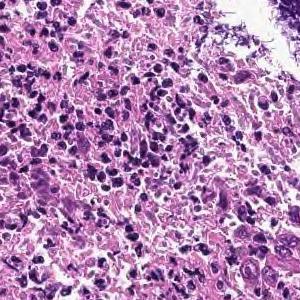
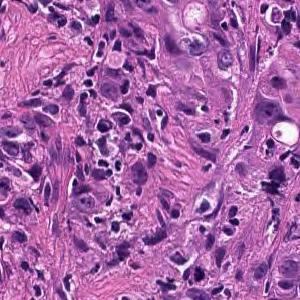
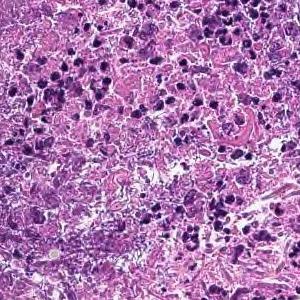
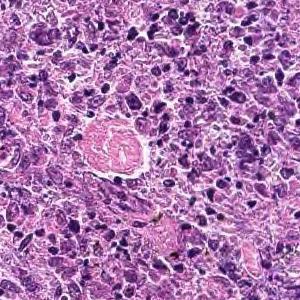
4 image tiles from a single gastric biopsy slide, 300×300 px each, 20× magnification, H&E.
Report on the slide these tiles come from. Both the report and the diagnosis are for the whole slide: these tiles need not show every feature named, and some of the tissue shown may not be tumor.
Cancers with polygonal nuclei do not show glandular formation and are densely, in part, cord-like and proliferate. Poorly differentiated adenocarcinoma
Tumor subtype: poorly differentiated adenocarcinoma, non-solid type.
The non-solid type named here is a Japanese Classification of Gastric Carcinoma category.
